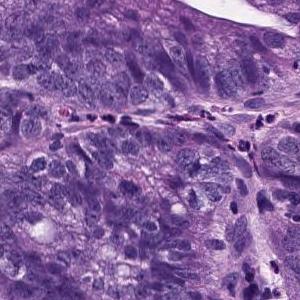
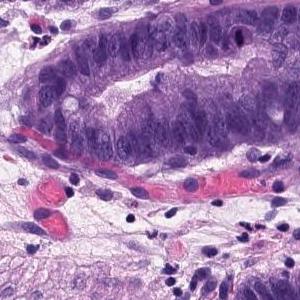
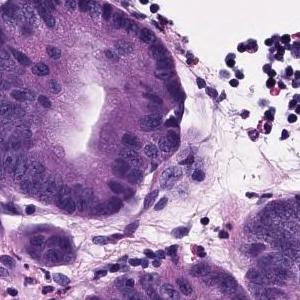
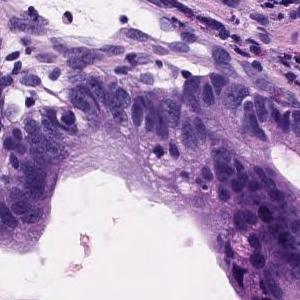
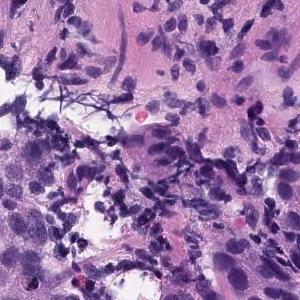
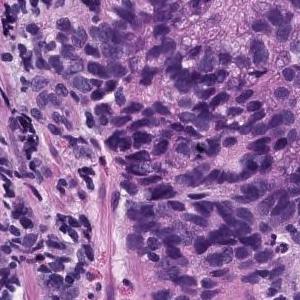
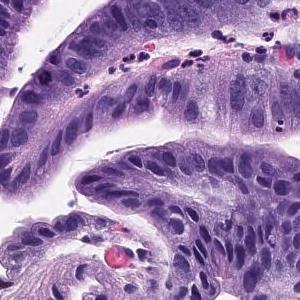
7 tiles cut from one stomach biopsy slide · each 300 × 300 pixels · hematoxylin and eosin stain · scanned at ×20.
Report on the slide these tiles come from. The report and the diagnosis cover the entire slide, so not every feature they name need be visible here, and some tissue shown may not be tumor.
Tumor tissue consisting of large papillary structures is found in the superficial epithelium. Papillary adenocarcinoma.
